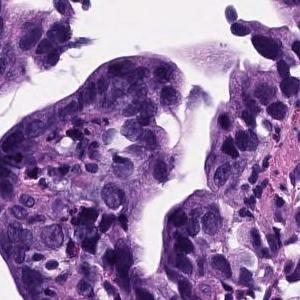
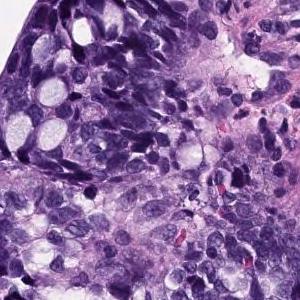
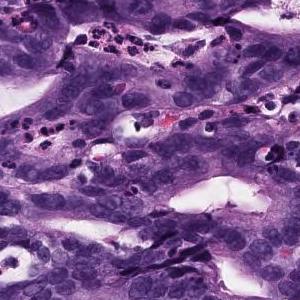
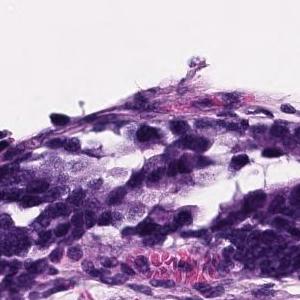
4 patches cut from one gastric biopsy slide · ×20 · hematoxylin and eosin stain.
Report on the slide these tiles come from. The report and the diagnosis describe the slide as a whole, so these tiles may not show every feature named and may include non-tumor tissue.
Atypical epithelium proliferating showing villus construction and irregular gland duct construction is observed. Moderately differentiated tubular adenocarcinoma.
